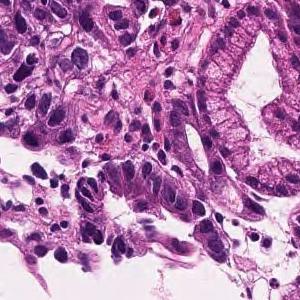
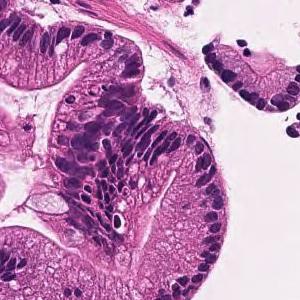
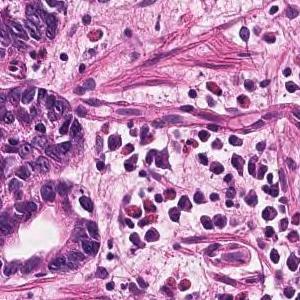
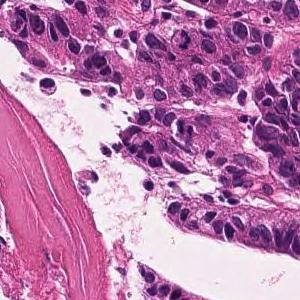
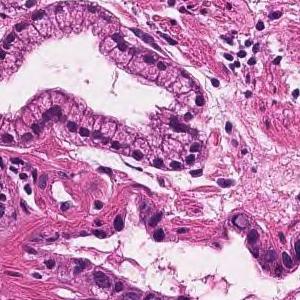
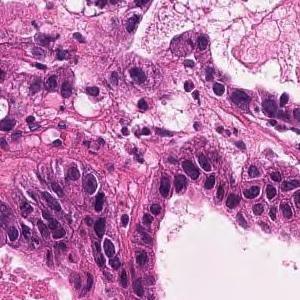
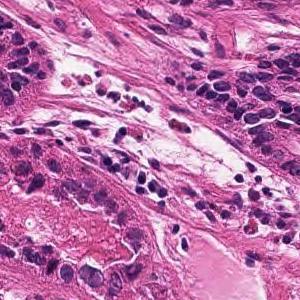
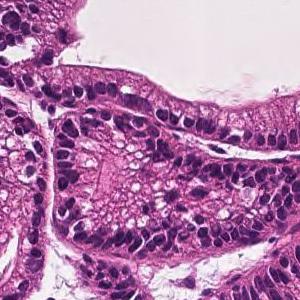
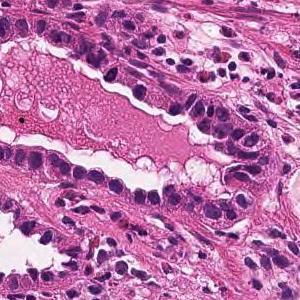
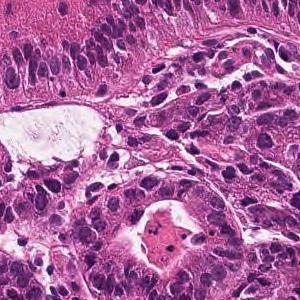
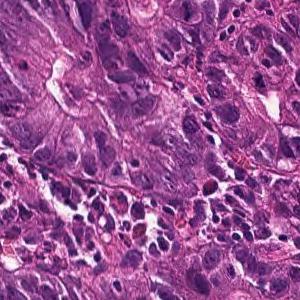
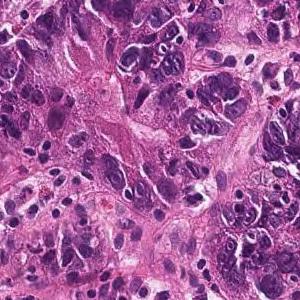
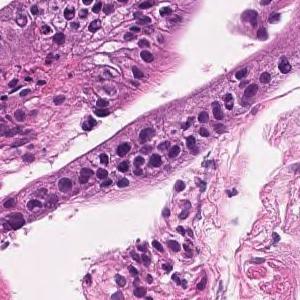
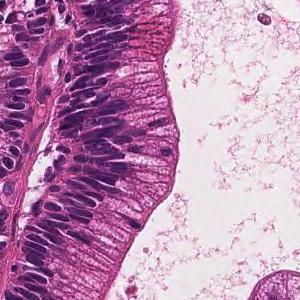
H&E stain, scanned at ×20, 14 tiles cut from one stomach biopsy slide, each 300 × 300 pixels.
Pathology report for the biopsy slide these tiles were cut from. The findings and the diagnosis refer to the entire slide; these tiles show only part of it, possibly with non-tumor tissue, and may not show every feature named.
In the superficial epithelium, tumor tissue that invades by forming medium-sized to small, irregular ducts is observed. moderately differentiated tubular adenocarcinoma.
